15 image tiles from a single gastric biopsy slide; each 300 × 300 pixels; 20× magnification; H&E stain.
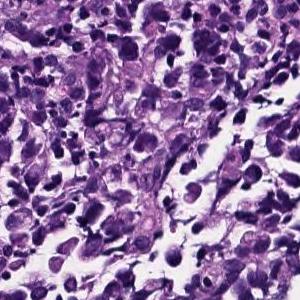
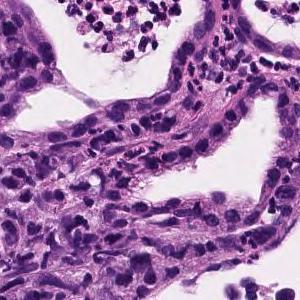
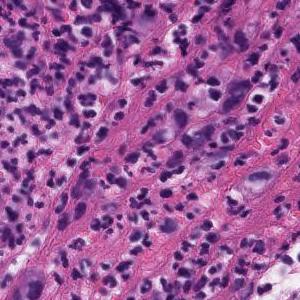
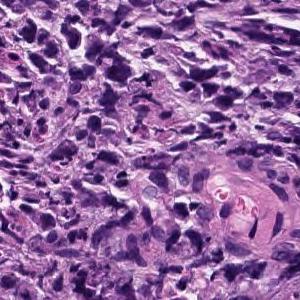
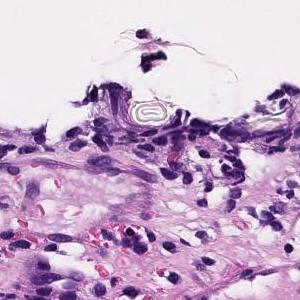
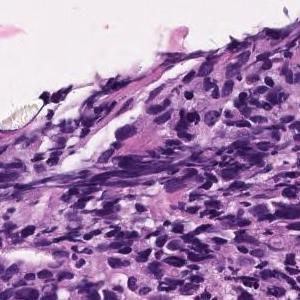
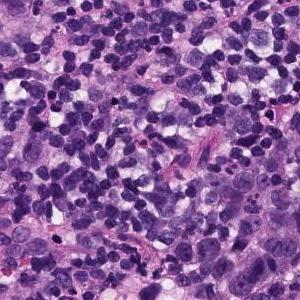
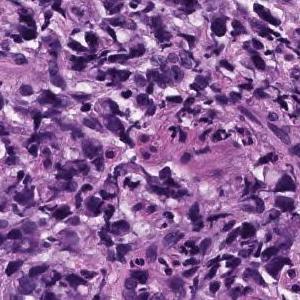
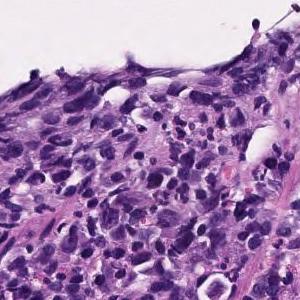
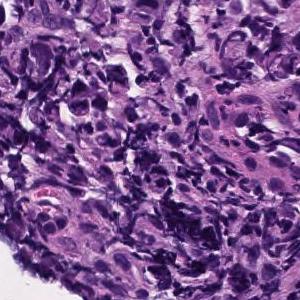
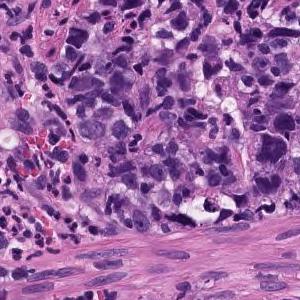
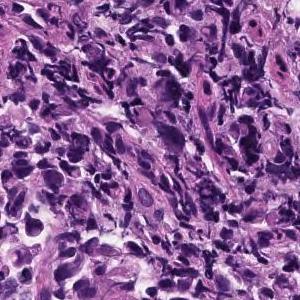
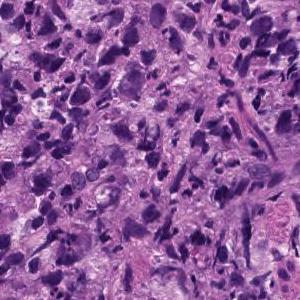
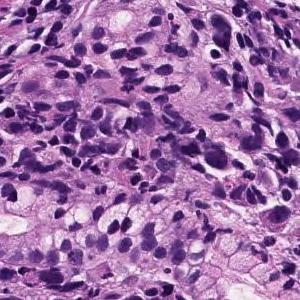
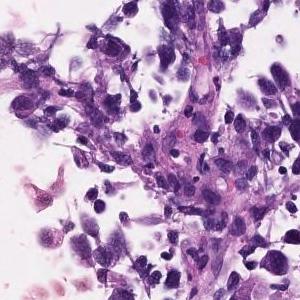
Pathology report for the slide these tiles were cut from. Both the report and the diagnosis are for the whole slide: these tiles need not show every feature named, and some of the tissue shown may not be tumor.
Poorly differentiated, solid adenocarcinoma (poorly differentiated adenocarcinoma, solid type) with tumor tissue diffusely infiltrated with atypical epithelial cells
Tumor subtype: poorly differentiated adenocarcinoma, solid type (Japanese Classification of Gastric Carcinoma). The WHO 2019 equivalent is tubular adenocarcinoma, poorly differentiated.
